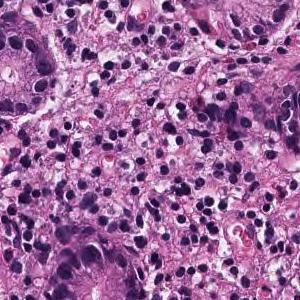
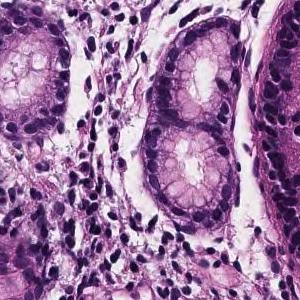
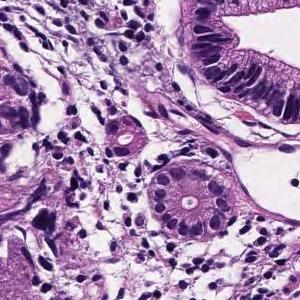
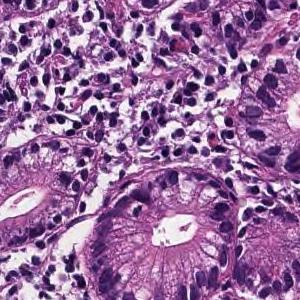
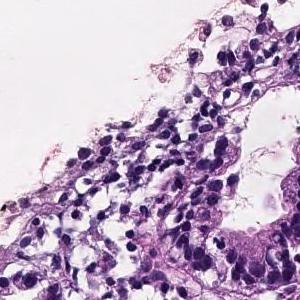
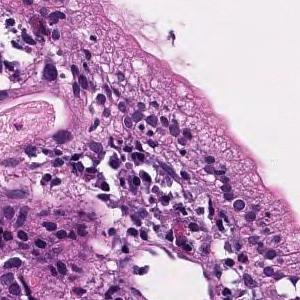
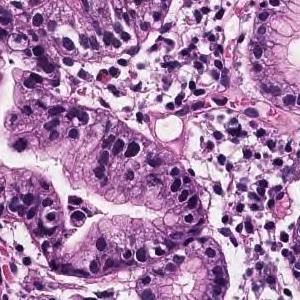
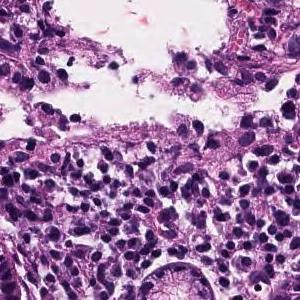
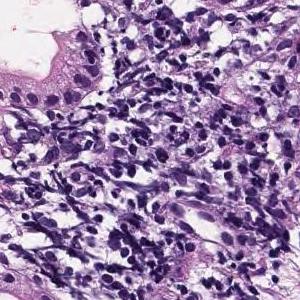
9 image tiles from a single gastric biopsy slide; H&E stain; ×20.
Report on the slide these tiles come from. What the report and the diagnosis say applies to the whole slide; these tiles may miss some of the features named and may include tissue that is not tumor.
From the superficial epithelium to the muscularis mucosae, tumor tissue consisting of medium-sized and irregular glandular ducts infiltrating is observed. Well differentiated tubular adenocarcinoma
